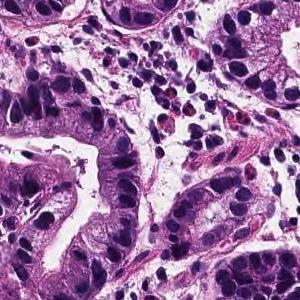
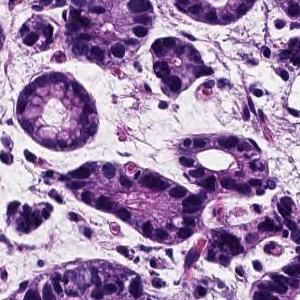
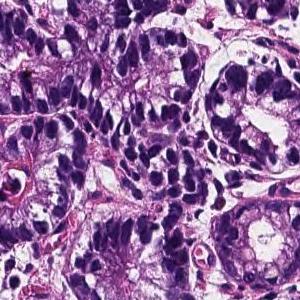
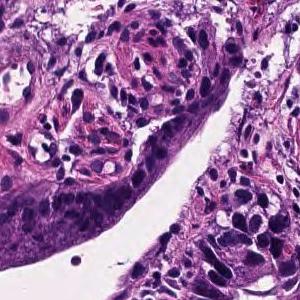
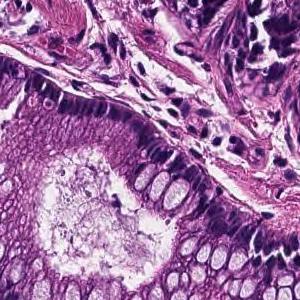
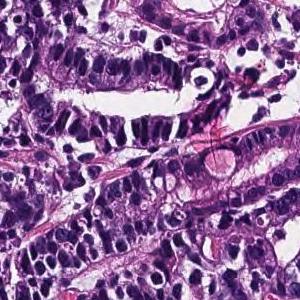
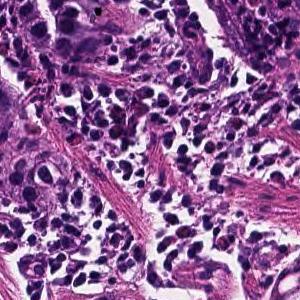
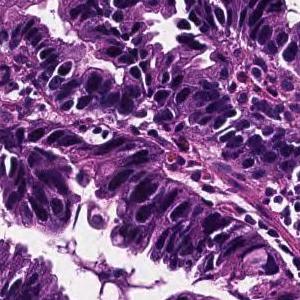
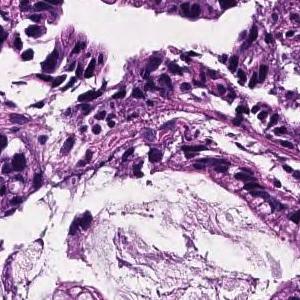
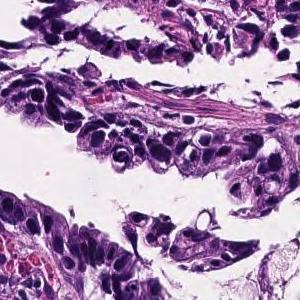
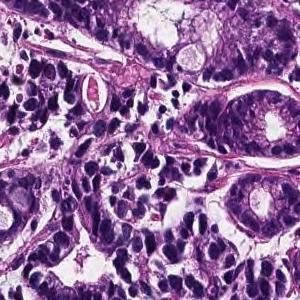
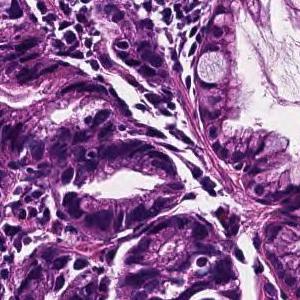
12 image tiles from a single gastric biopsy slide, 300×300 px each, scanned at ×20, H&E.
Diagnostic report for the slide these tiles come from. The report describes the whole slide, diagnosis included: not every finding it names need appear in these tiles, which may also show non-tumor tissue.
Tumor cells are large, highly columnar, large club-shaped nuclei, and are associated with chromatin aggregation. Papillary adenocarcinoma.
